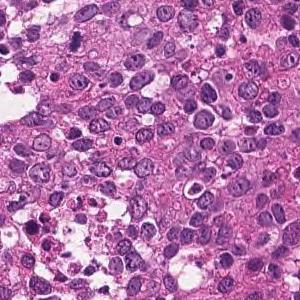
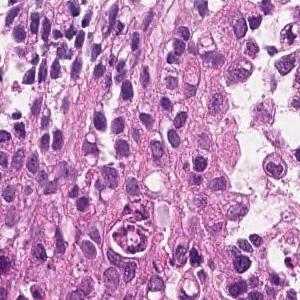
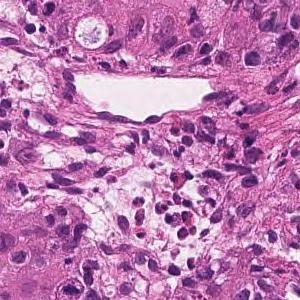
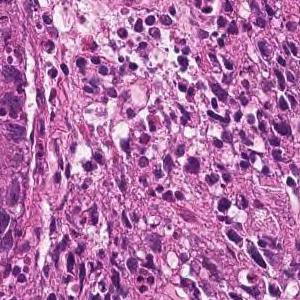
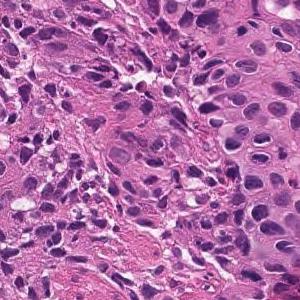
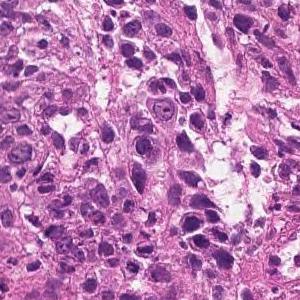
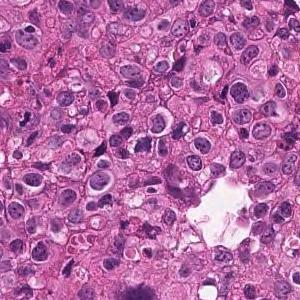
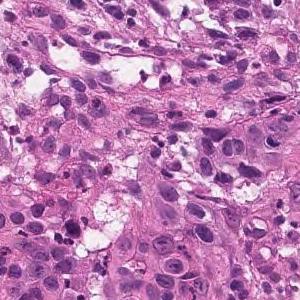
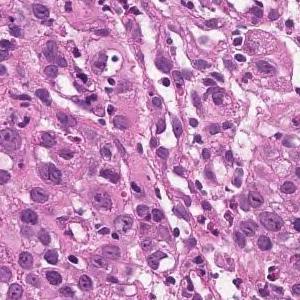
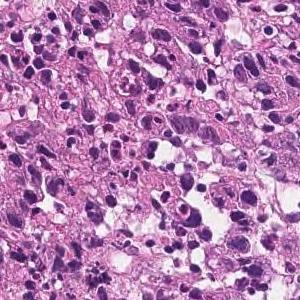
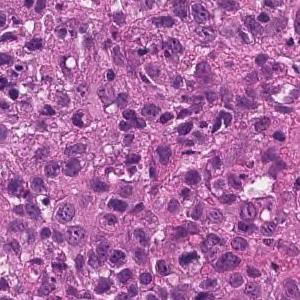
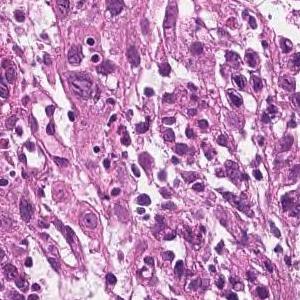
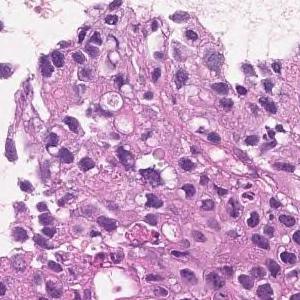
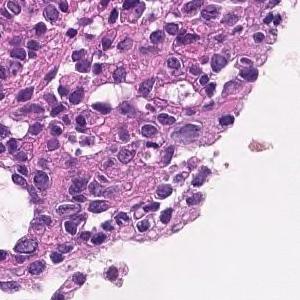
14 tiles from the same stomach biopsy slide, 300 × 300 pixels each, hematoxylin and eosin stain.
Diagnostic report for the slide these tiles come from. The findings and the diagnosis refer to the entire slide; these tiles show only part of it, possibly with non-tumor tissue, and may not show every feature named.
The superficial epithelium shows a large sheet-like shape, and some tumor tissue infiltrates with small irregular ducts. Poorly differentiated adenocarcinoma, solid-type
Histological subtype: Poorly differentiated adenocarcinoma, solid type, a category of the Japanese Classification of Gastric Carcinoma; in the WHO 2019 classification it is tubular adenocarcinoma, poorly differentiated.
